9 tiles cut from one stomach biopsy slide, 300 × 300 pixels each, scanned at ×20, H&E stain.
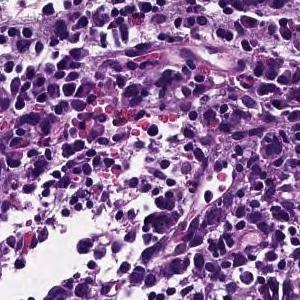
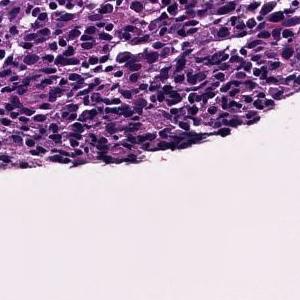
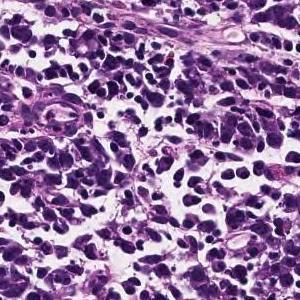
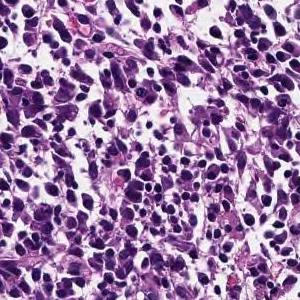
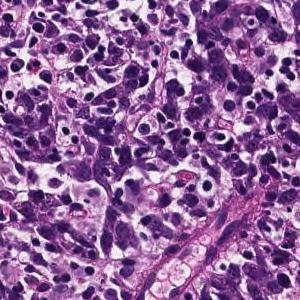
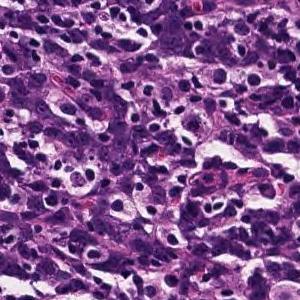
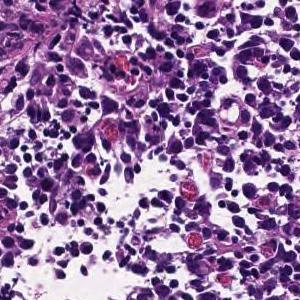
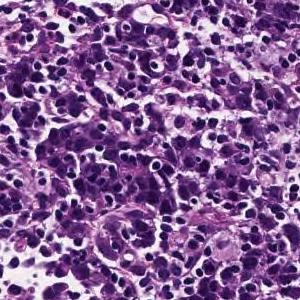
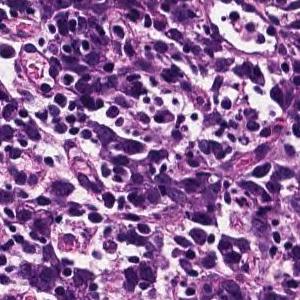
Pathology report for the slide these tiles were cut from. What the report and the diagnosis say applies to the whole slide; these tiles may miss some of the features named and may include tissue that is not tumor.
Tumor tissue consisting of cord-like or small, irregular glandular ducts fused and infiltrated is observed in the superficial epithelium. Poorly differentiated adenocarcinoma, non-solid type
The term "non-solid type" comes from the Japanese Classification of Gastric Carcinoma.
